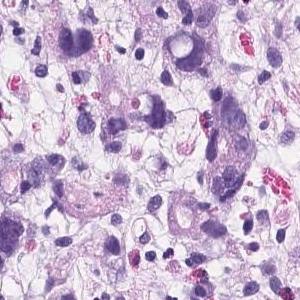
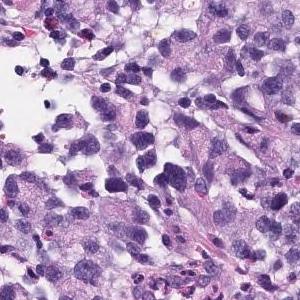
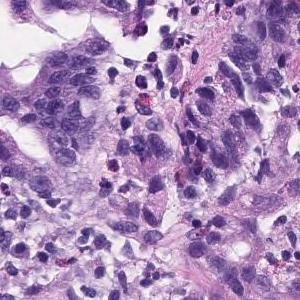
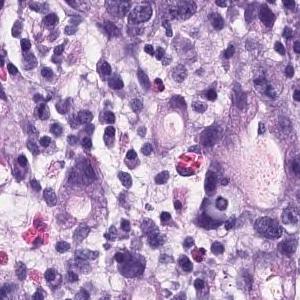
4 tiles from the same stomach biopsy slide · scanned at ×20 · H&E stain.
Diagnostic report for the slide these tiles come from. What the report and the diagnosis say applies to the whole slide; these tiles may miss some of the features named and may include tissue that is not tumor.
There are atypical l cells with atypical nuclei forming cord-like or irregular atypical ducts from solidity and proliferating in a comprehensive manner. Poorly differentiated adenocarcinoma, Moderately differentiated adenocarcinoma (poorly differentiated adenocarcinoma, solid type moderately differentiated tubular adenocarcinoma)
Histologic type: Moderately to poorly differentiated adenocarcinoma.
The term "solid type" comes from the Japanese Classification of Gastric Carcinoma; the WHO 2019 equivalent is tubular adenocarcinoma, poorly differentiated.
